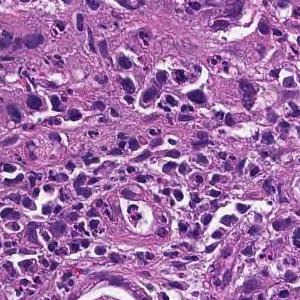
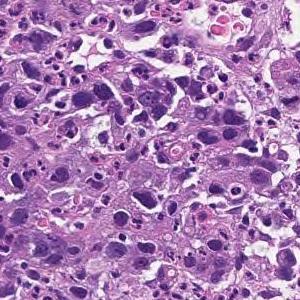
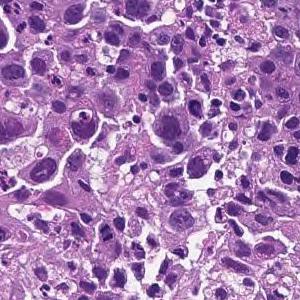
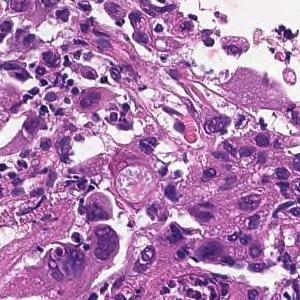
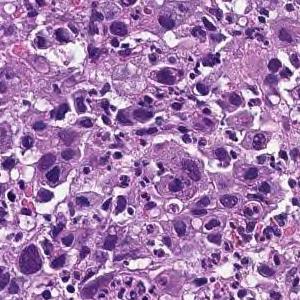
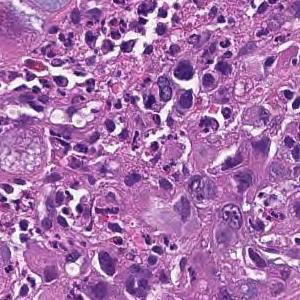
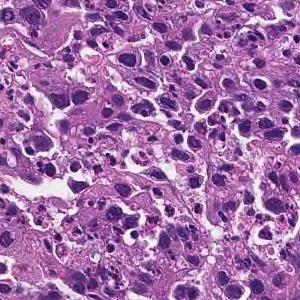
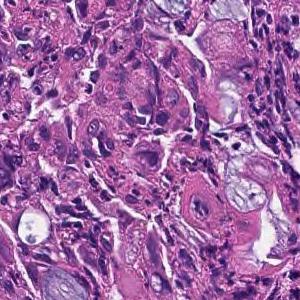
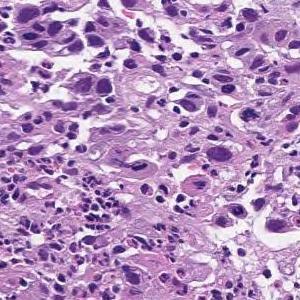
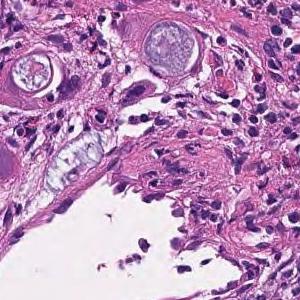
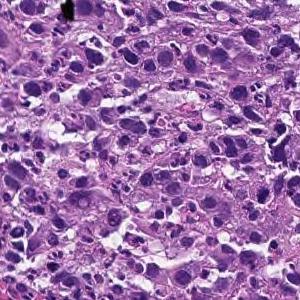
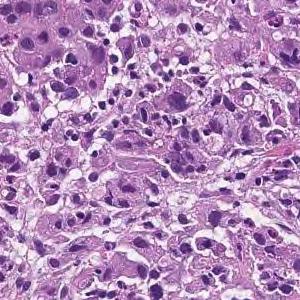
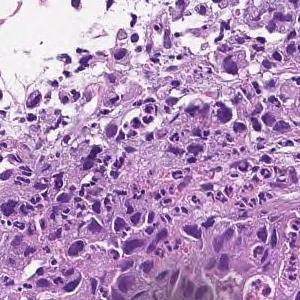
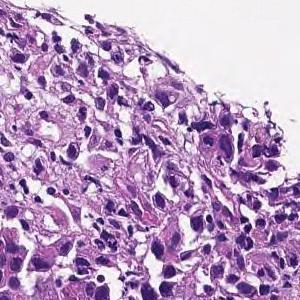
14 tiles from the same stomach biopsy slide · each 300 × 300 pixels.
Pathology report for the slide these tiles were cut from. The report describes the whole slide, diagnosis included: not every finding it names need appear in these tiles, which may also show non-tumor tissue.
The superficial epithelium shows a large sheet-like shape, and some tumor tissue infiltrates with small irregular ducts. Poorly differentiated adenocarcinoma, solid-type
Histologic type: Poorly differentiated adenocarcinoma, solid type. This name comes from the Japanese Classification of Gastric Carcinoma; the WHO 2019 classification calls it tubular adenocarcinoma, poorly differentiated.
